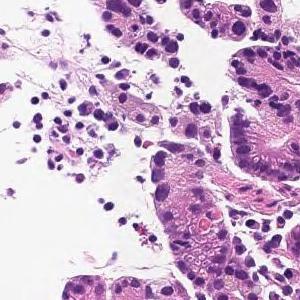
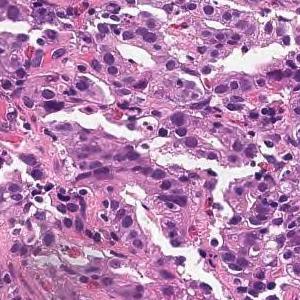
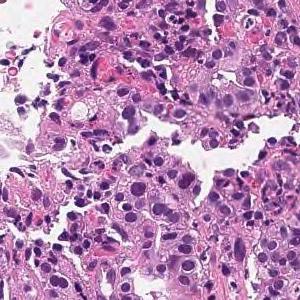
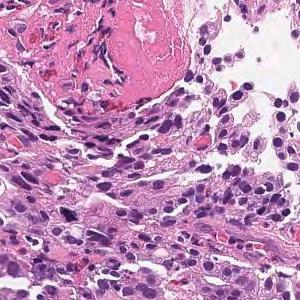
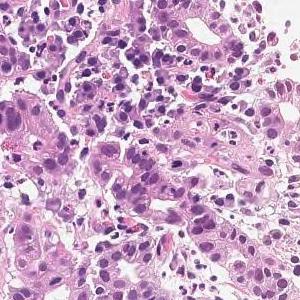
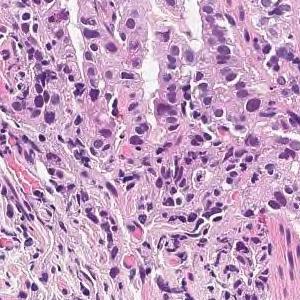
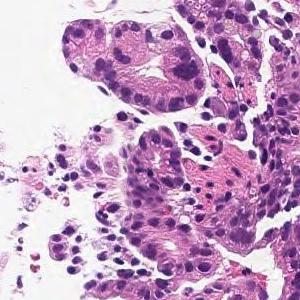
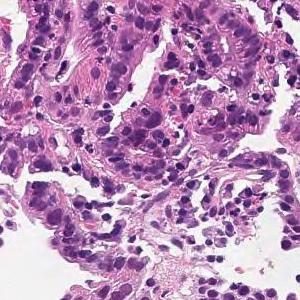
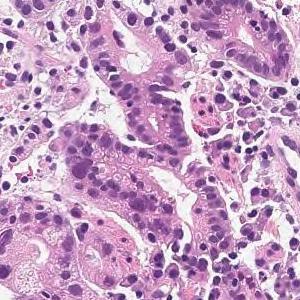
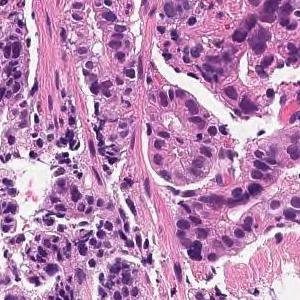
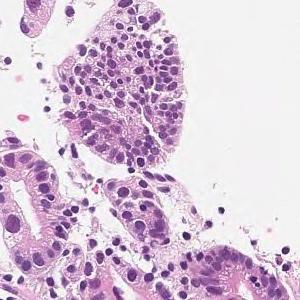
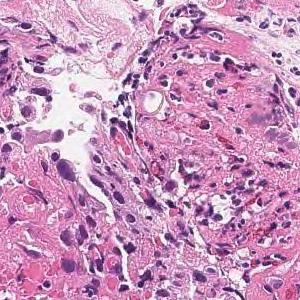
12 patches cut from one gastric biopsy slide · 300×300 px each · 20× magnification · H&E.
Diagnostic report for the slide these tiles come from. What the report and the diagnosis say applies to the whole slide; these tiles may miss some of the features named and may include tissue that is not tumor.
In the superficial epithelium, tumor tissue that invades by forming medium-sized to small, irregular ducts is observed. moderately differentiated tubular adenocarcinoma.
